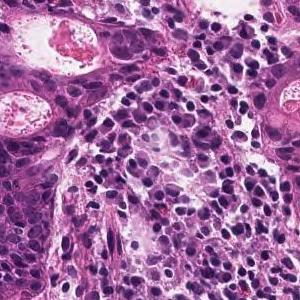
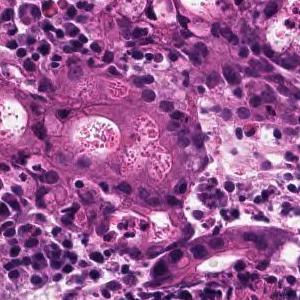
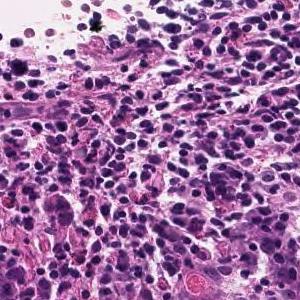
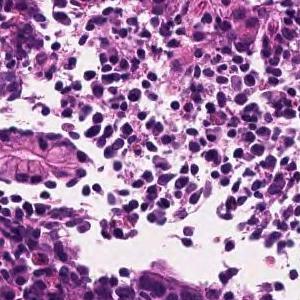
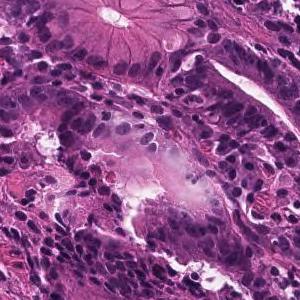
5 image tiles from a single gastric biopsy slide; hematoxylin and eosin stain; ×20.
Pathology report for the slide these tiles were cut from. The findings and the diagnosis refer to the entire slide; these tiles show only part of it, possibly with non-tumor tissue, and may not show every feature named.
Tumor tissue consisting of medium-sized, cord-like or irregular glandular infiltration is observed in the superficial epithelium. Poorly differentiated adenocarcinoma, non-solid type or moderately differentiated tubular adenocarcinoma
The dataset labels this slide poorly differentiated adenocarcinoma, non-solid type.
"Non-solid type" is a category of the Japanese Classification of Gastric Carcinoma.
